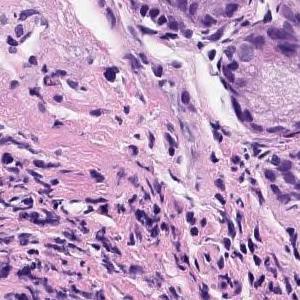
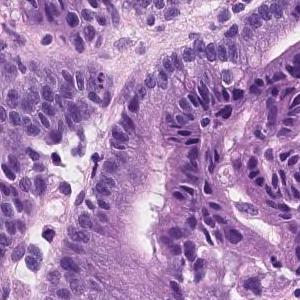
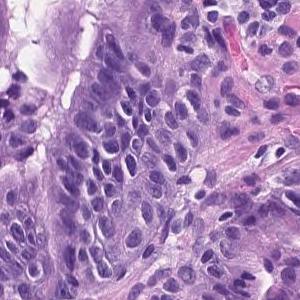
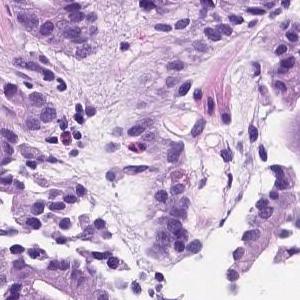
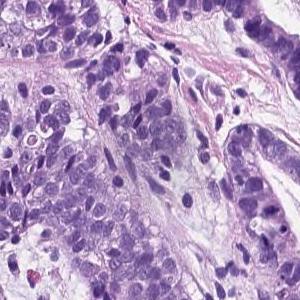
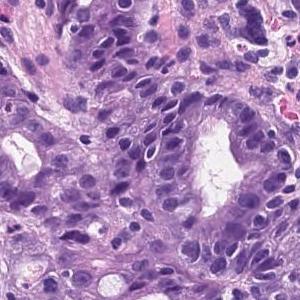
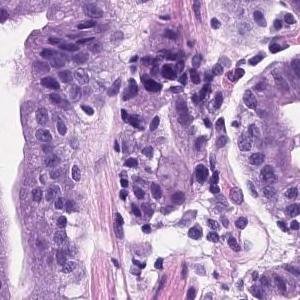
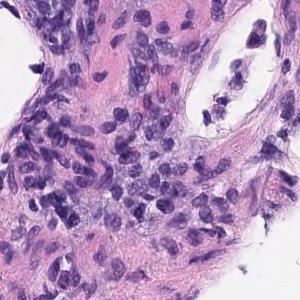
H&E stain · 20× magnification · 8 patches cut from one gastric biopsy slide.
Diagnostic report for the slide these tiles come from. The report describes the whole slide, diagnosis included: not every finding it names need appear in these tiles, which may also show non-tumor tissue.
Tumor tissue consisting of medium-sized and irregular ducts is observed infiltrating in the superficial epithelium. Tumor cells are highly columnar, with nuclei aligned basolaterally and polarized. Well differentiated tubular adenocarcinoma.
